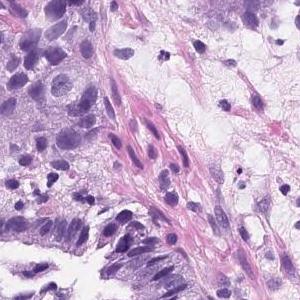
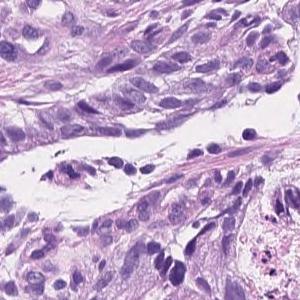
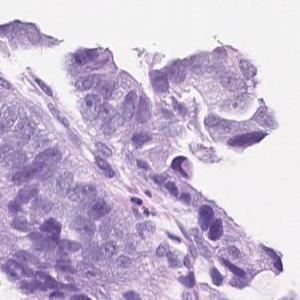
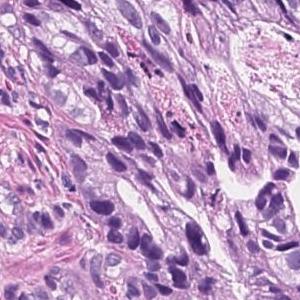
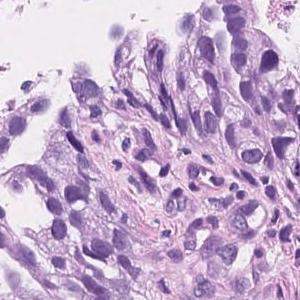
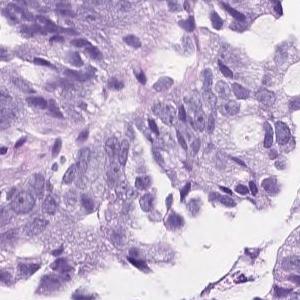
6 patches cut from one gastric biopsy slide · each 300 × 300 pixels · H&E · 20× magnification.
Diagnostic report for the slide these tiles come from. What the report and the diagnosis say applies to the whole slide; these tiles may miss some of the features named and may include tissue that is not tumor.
On the superficial epithelium, tumor tissue consisting of an image of large, irregular glandular ducts partially fused and infiltrated is observed. Well to moderately differentiated tubular adenocarcinoma
